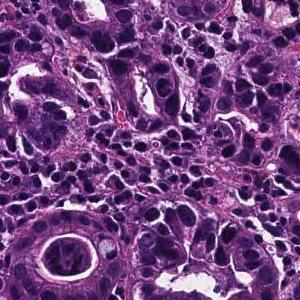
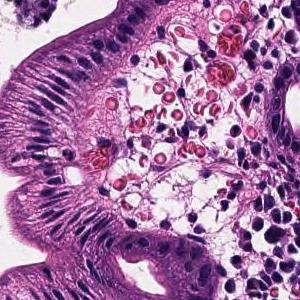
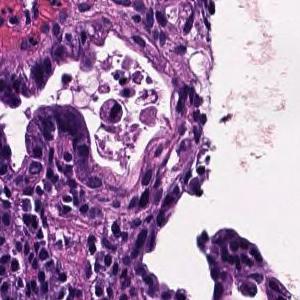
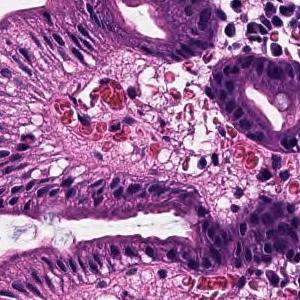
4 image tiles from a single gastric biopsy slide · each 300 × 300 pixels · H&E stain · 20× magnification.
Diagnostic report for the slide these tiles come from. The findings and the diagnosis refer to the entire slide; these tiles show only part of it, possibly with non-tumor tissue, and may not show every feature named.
On the superficial epithelium, tumor tissue consisting of proliferative images of medium-sized to small-sized round or irregular glandular ducts is observed. Well differentiated tubular adenocarcinoma
